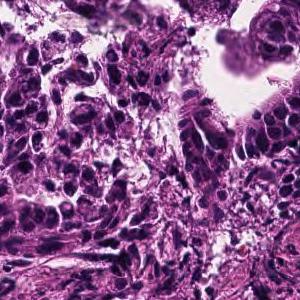
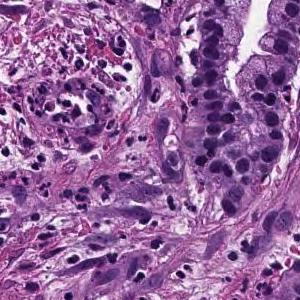
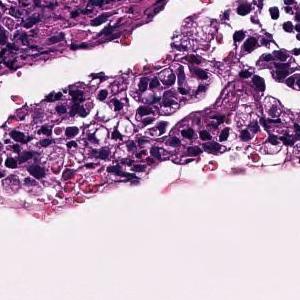
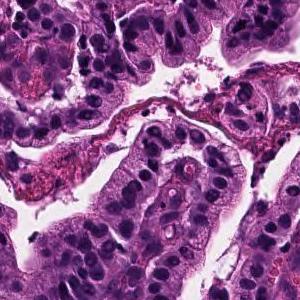
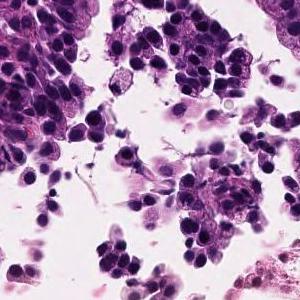
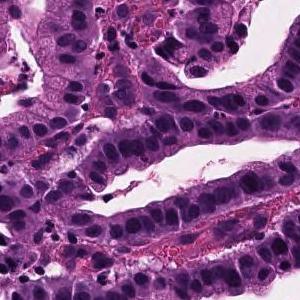
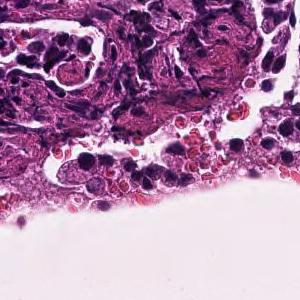
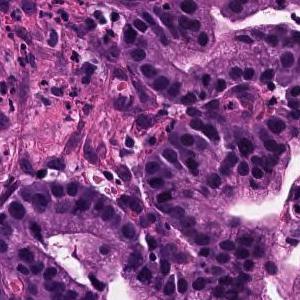
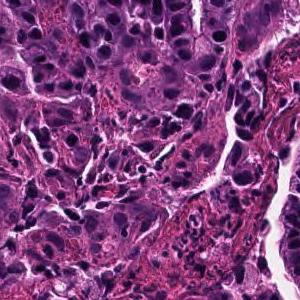
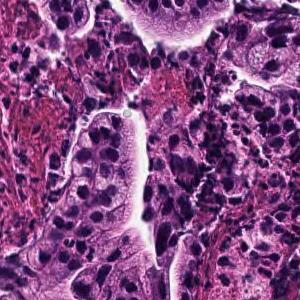
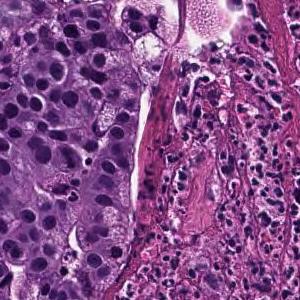
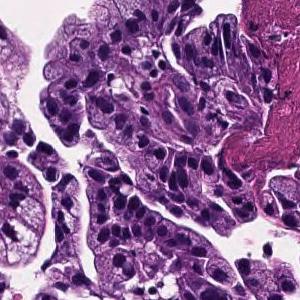
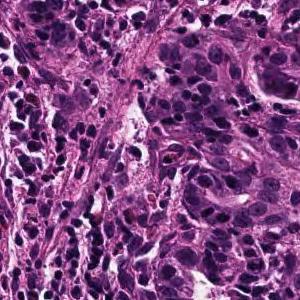
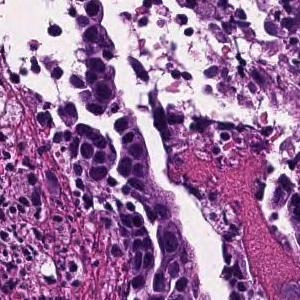
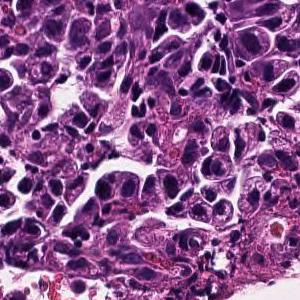
15 image tiles from a single gastric biopsy slide, each 300 × 300 pixels, ×20, H&E stain.
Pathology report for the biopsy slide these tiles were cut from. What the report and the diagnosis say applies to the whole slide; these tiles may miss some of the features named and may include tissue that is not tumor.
Tumor cells are large, highly columnar, large club-shaped nuclei, and are associated with chromatin aggregation. Papillary adenocarcinoma.
